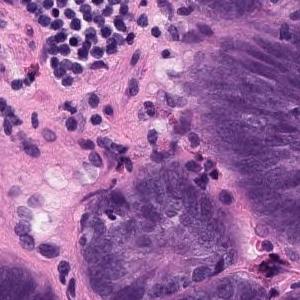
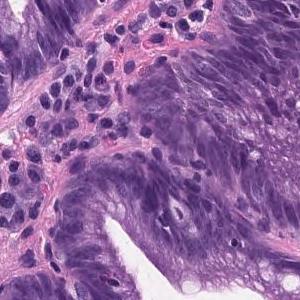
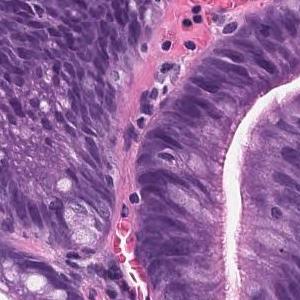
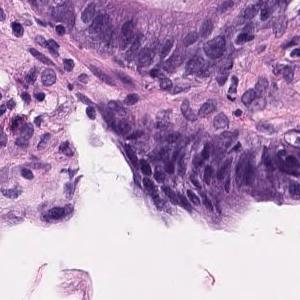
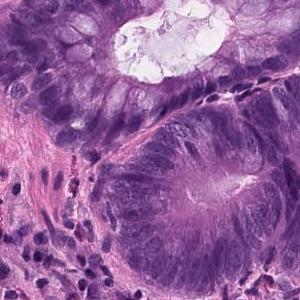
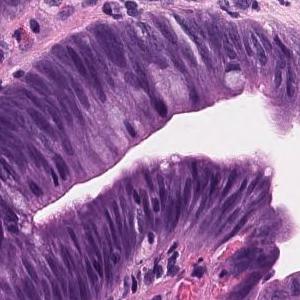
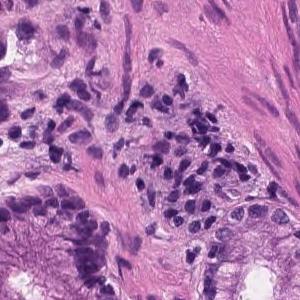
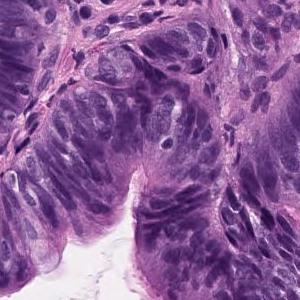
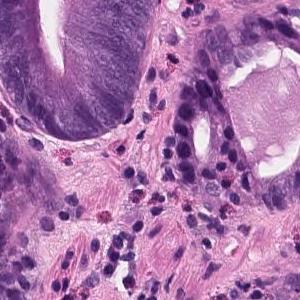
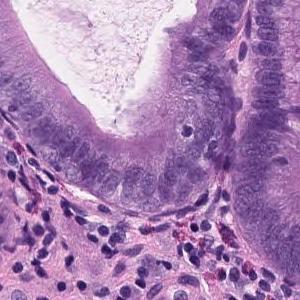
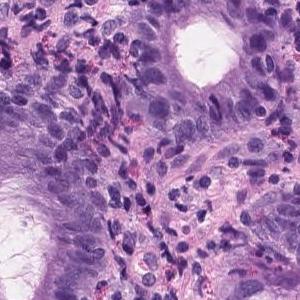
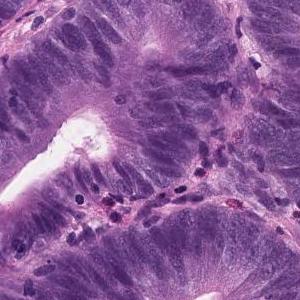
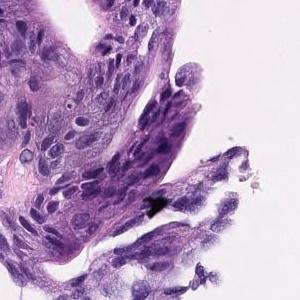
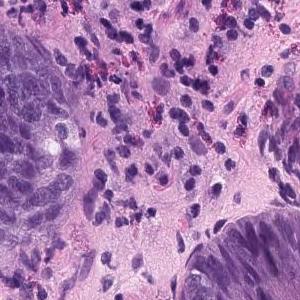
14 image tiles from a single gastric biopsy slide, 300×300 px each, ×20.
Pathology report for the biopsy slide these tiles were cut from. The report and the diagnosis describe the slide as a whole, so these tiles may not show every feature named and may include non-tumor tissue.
On the superficial epithelium, tumor tissue with densely growing medium to large, round tubules is observed. Tumor cells are highly columnar, with nuclei aligned basolaterally and polarized. Well differentiated tubular adenocarcinoma
